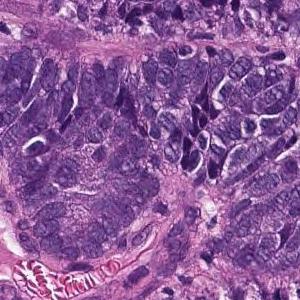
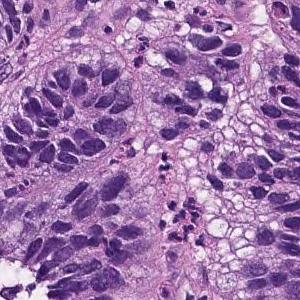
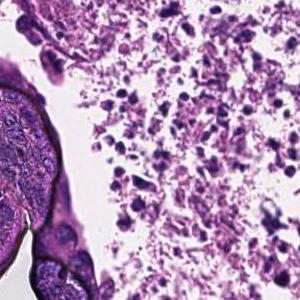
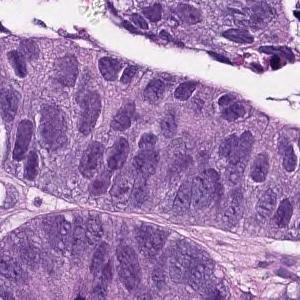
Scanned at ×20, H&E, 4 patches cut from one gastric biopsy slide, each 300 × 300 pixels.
Pathology report for the biopsy slide these tiles were cut from. The report describes the whole slide, diagnosis included: not every finding it names need appear in these tiles, which may also show non-tumor tissue.
In the superficial epithelium, tumor tissue that invades by forming medium-sized to small, irregular ducts is observed. moderately differentiated tubular adenocarcinoma.
